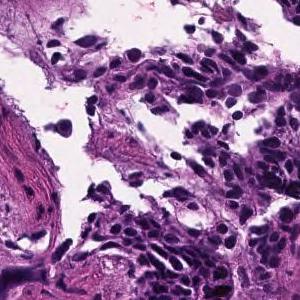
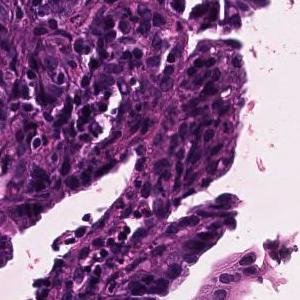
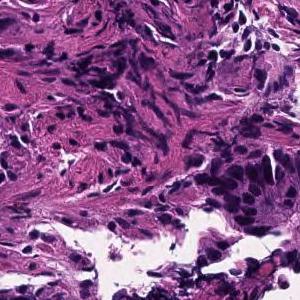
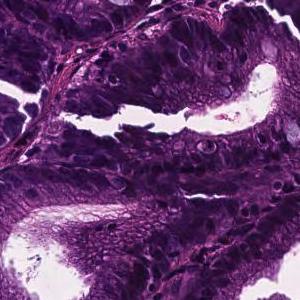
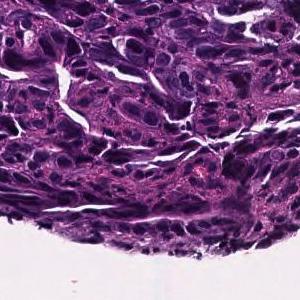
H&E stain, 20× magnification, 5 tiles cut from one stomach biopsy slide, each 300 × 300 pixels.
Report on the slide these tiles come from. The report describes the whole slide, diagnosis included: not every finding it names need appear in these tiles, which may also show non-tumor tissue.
In the superficial epithelium, tumor tissue that invades by forming medium-sized to small, irregular ducts is observed. moderately differentiated tubular adenocarcinoma.
